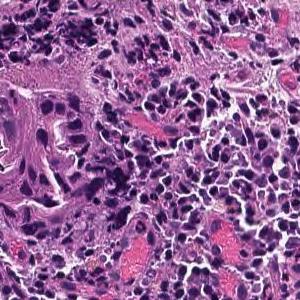
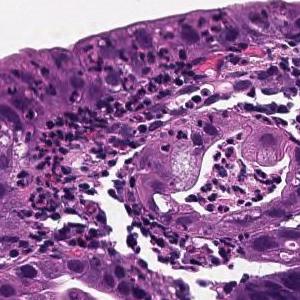
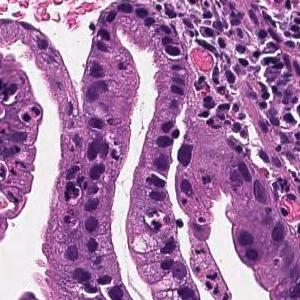
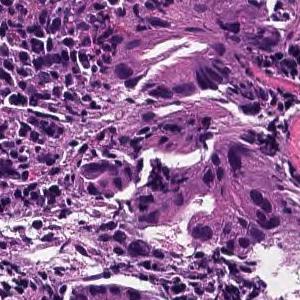
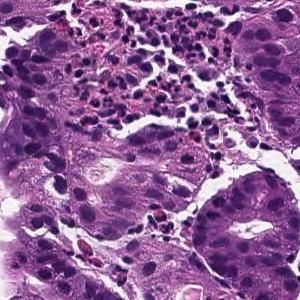
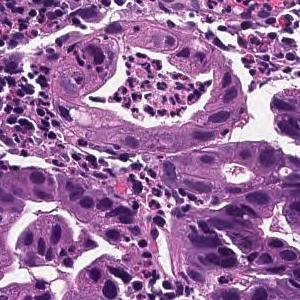
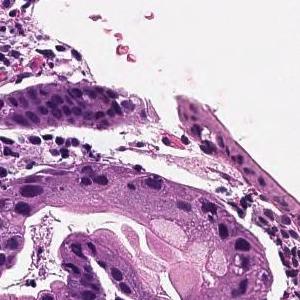
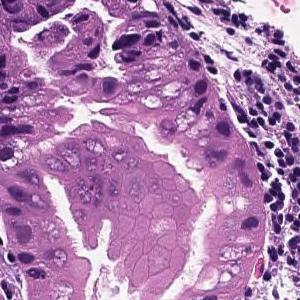
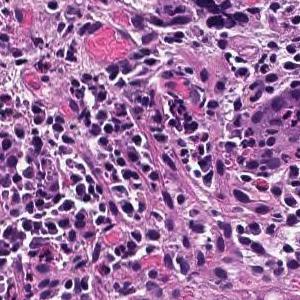
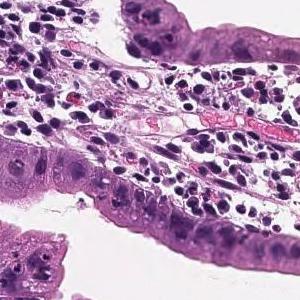
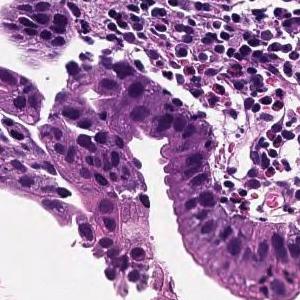
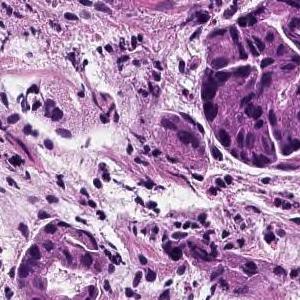
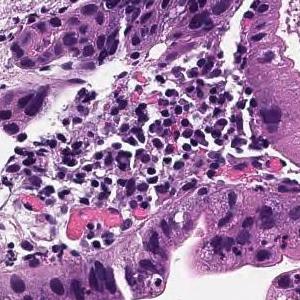
13 image tiles from a single gastric biopsy slide, H&E.
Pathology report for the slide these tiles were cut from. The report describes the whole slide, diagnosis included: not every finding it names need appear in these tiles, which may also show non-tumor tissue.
From the superficial epithelium to the muscularis mucosae, tumor tissue consisting of medium-sized and irregular glandular ducts infiltrating is observed. Well differentiated tubular adenocarcinoma
